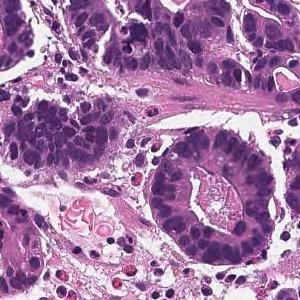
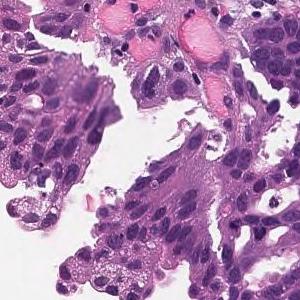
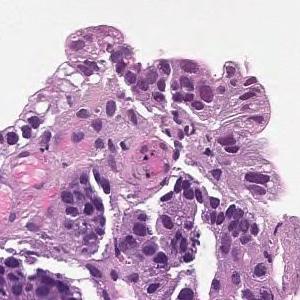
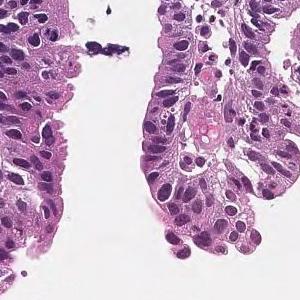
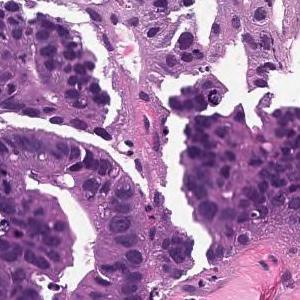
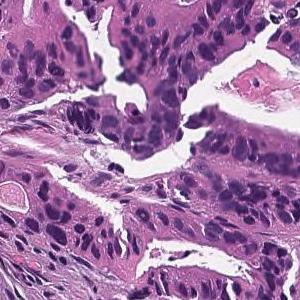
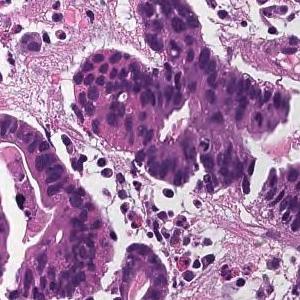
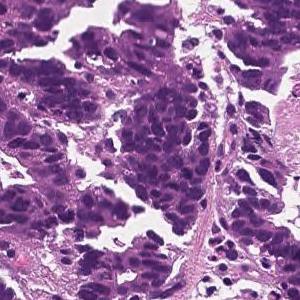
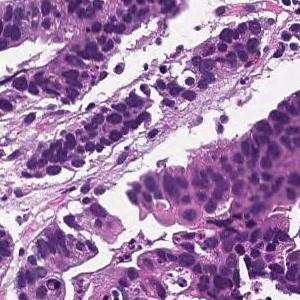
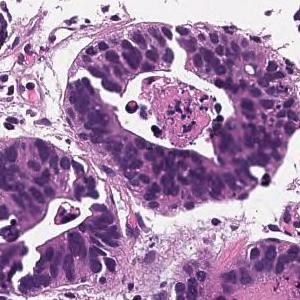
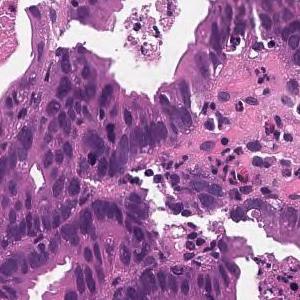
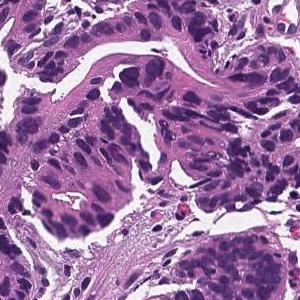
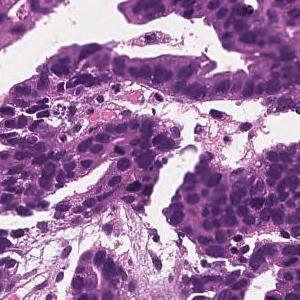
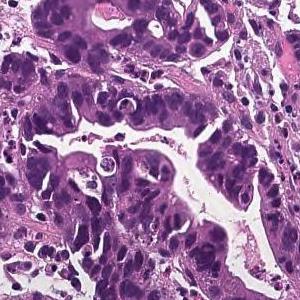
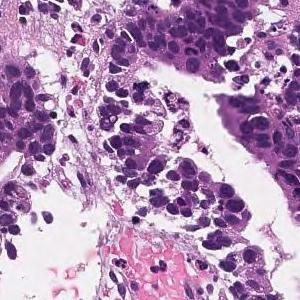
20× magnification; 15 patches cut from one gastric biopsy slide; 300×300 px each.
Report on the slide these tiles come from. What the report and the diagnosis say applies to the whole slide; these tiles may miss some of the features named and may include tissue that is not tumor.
In the superficial epithelium, tumor tissue that invades by forming medium-sized to small, irregular ducts is observed. moderately differentiated tubular adenocarcinoma.
